10 image tiles from a single gastric biopsy slide; each 300 × 300 pixels; scanned at ×20.
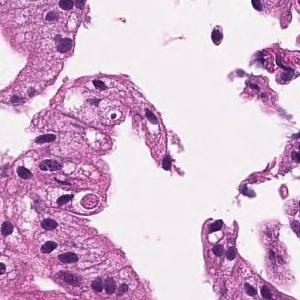
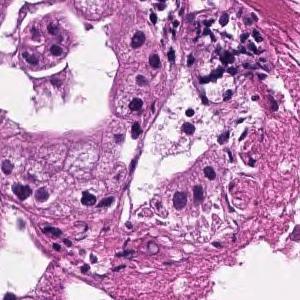
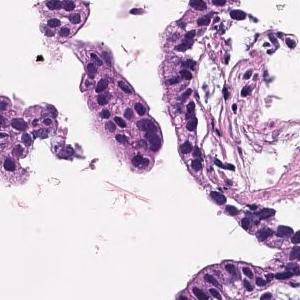
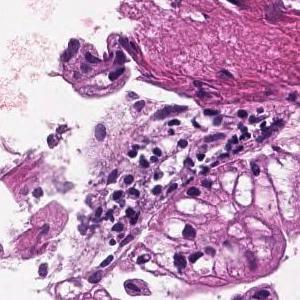
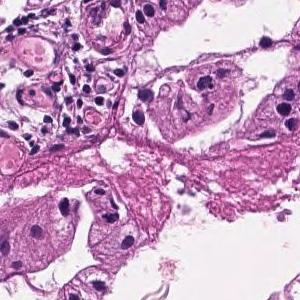
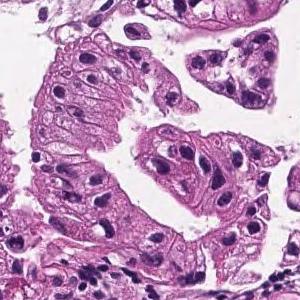
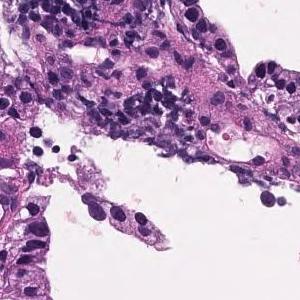
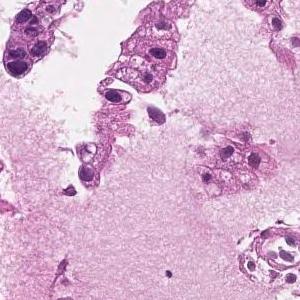
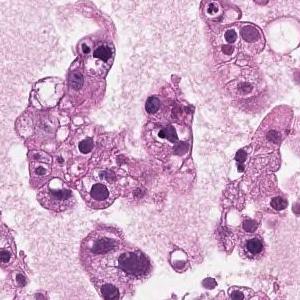
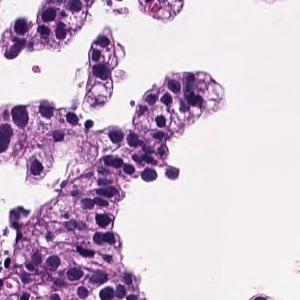
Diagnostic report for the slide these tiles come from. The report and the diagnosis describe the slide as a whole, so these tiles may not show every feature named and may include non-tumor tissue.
On the superficial epithelium, tumor tissue that infiltrates by forming medium-sized papillary or small irregular ducts is observed. Papillary adenocarcinoma
